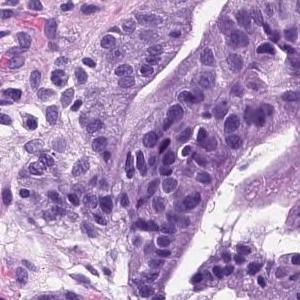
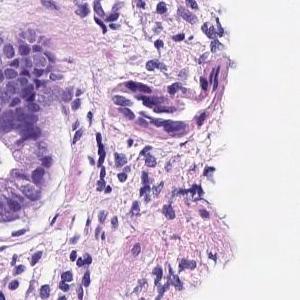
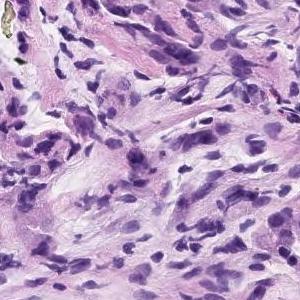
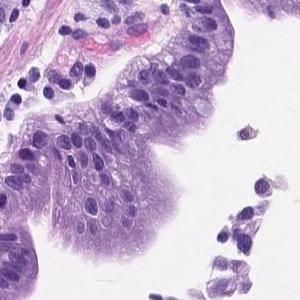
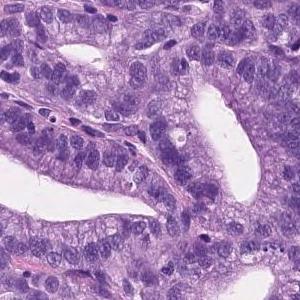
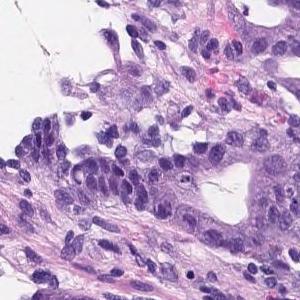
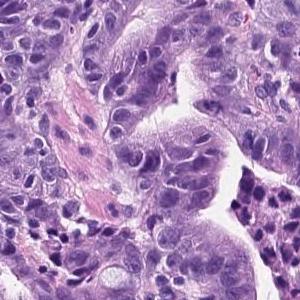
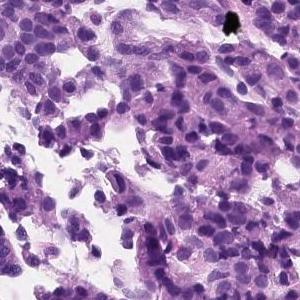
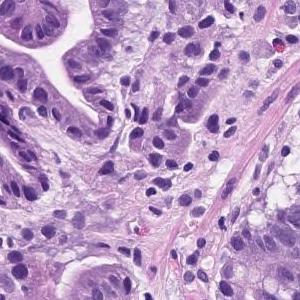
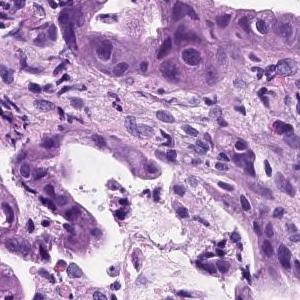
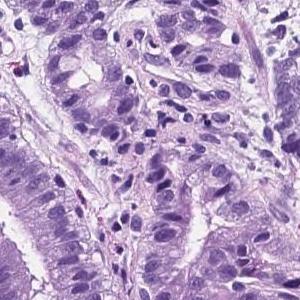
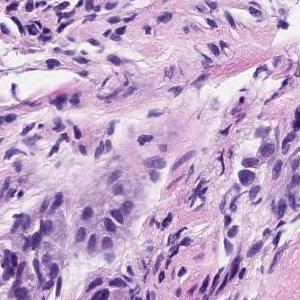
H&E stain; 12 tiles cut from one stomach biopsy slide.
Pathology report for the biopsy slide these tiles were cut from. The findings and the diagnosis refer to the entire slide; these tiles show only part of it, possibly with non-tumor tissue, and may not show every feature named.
Tumor tissue consisting of medium-sized and irregular ducts is observed infiltrating in the superficial epithelium. Tumor cells are highly columnar, with nuclei aligned basolaterally and polarized. Well differentiated tubular adenocarcinoma.
